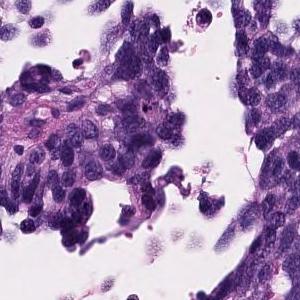
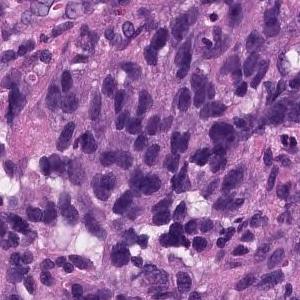
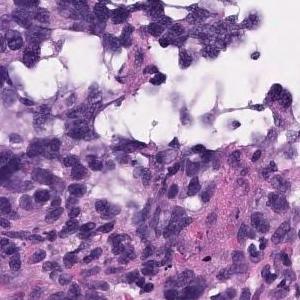
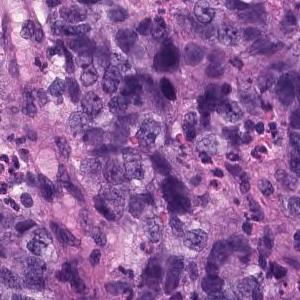
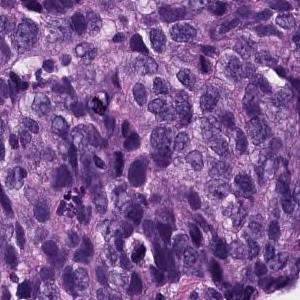
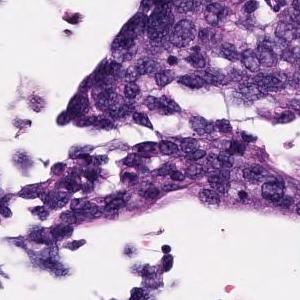
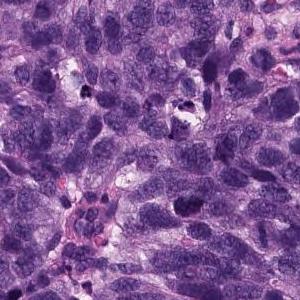
Hematoxylin and eosin stain; 7 tiles cut from one stomach biopsy slide; 300 × 300 pixels each.
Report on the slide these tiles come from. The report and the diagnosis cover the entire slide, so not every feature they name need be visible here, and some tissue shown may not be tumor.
Atypical l cells with atypical nuclei under the mucosa growing in isolation and scattered. Poorly differentiated adenocarcinoma (poorly differentiated adenocarcinoma, non-solid type)
Subtype: Poorly differentiated adenocarcinoma, non-solid type.
"Non-solid type" is a category of the Japanese Classification of Gastric Carcinoma.
